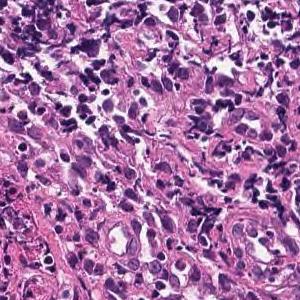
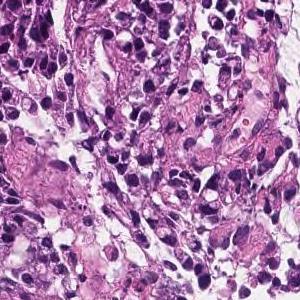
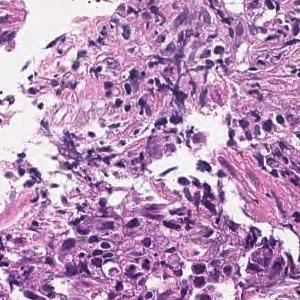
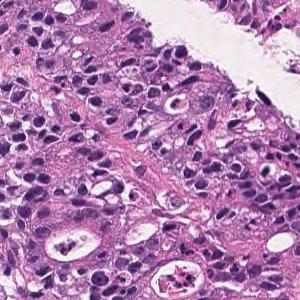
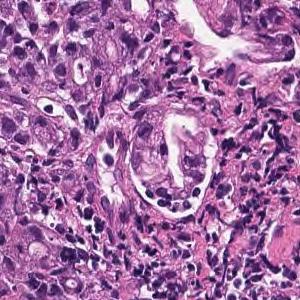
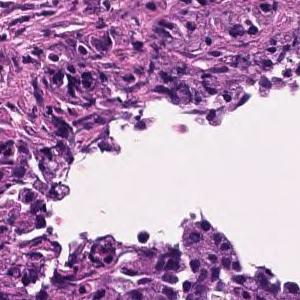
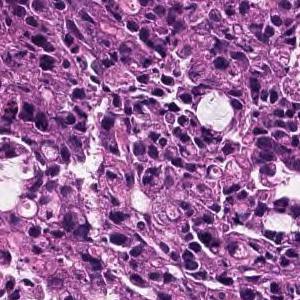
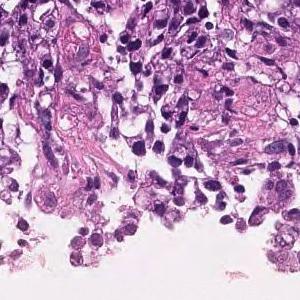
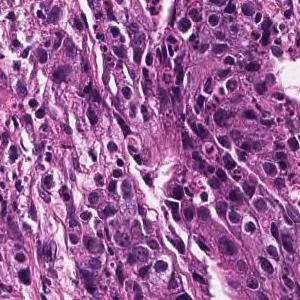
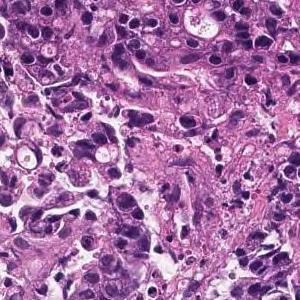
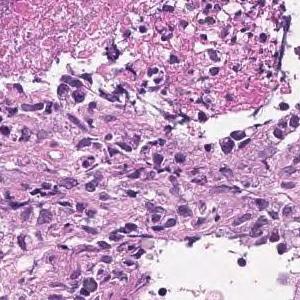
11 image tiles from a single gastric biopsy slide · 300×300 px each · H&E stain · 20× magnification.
Pathology report for the biopsy slide these tiles were cut from. The report describes the whole slide, diagnosis included: not every finding it names need appear in these tiles, which may also show non-tumor tissue.
Medium to small, irregular glandular ducts are formed in the superficial epithelium, and in some cases, the glandular ducts are fused to show solid alveolar lesions and infiltrating tumor tissue is observed. Moderately to poorly differentiated adenocarcinoma.
